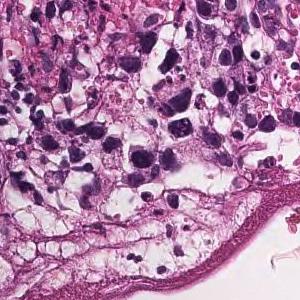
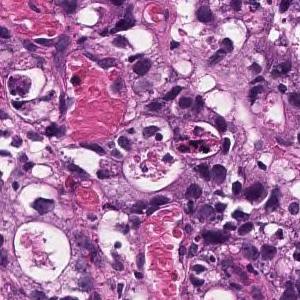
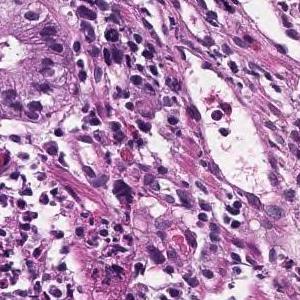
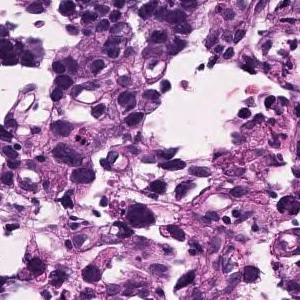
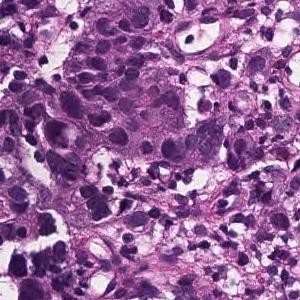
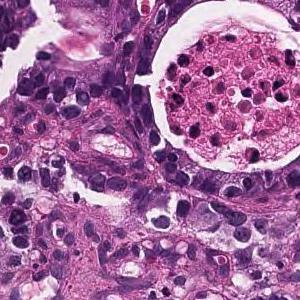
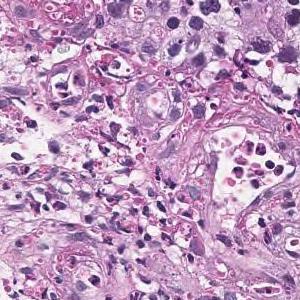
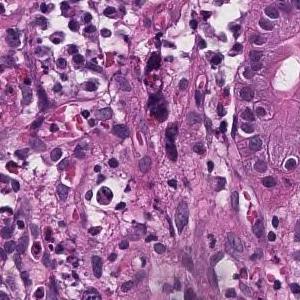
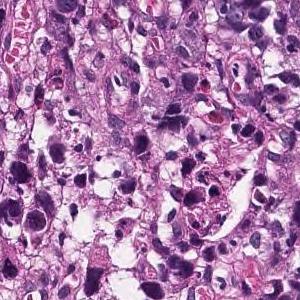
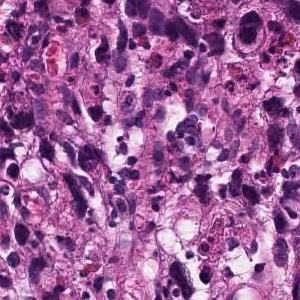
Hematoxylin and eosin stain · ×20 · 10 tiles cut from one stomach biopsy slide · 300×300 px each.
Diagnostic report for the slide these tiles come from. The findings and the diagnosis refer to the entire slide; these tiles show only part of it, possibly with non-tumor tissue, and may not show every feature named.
Tumor tissue consisting of medium-sized, cord-like or irregular glandular infiltration is observed in the superficial epithelium. Poorly differentiated adenocarcinoma, non-solid type or moderately differentiated tubular adenocarcinoma
"Non-solid type" is a category of the Japanese Classification of Gastric Carcinoma.
